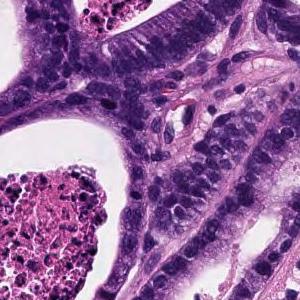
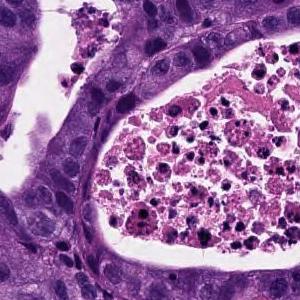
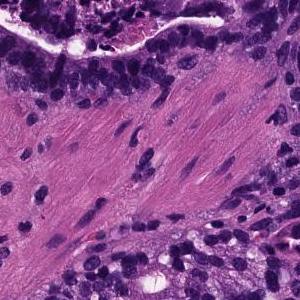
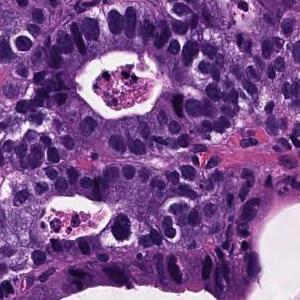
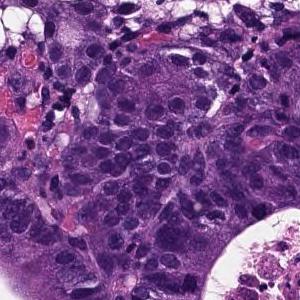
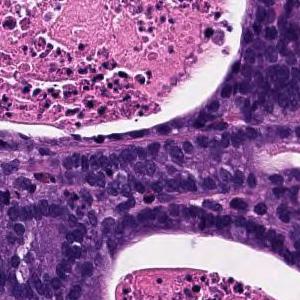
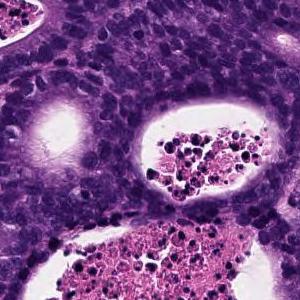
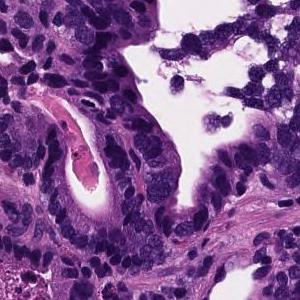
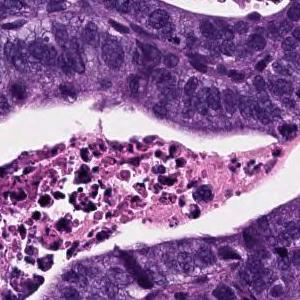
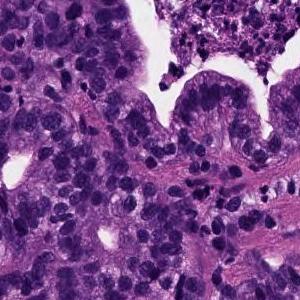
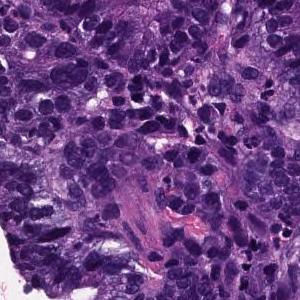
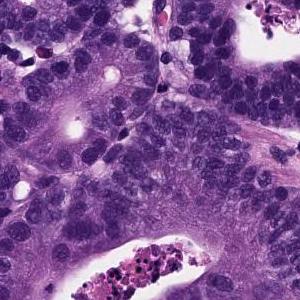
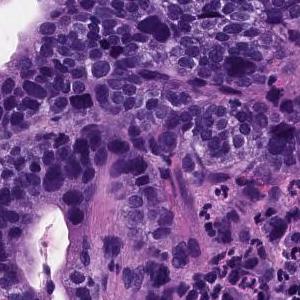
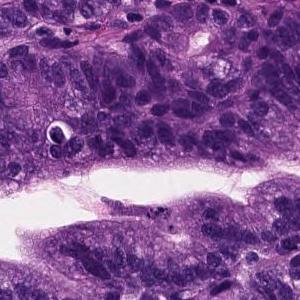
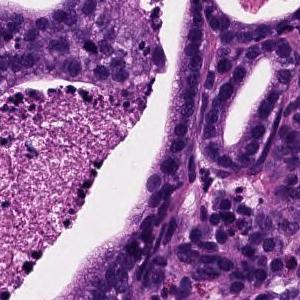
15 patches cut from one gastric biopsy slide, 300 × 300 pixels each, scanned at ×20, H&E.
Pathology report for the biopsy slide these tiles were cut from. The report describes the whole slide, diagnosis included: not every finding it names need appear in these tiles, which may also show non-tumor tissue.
From the superficial epithelium to the muscularis mucosae, tumor tissue consisting of medium-sized and irregular glandular ducts infiltrating is observed. Well differentiated tubular adenocarcinoma
